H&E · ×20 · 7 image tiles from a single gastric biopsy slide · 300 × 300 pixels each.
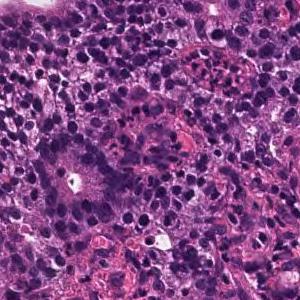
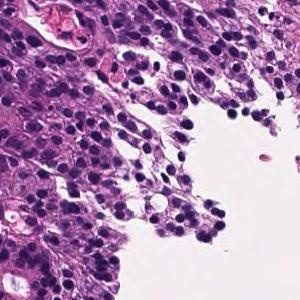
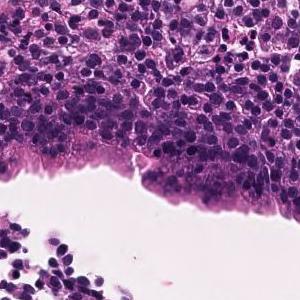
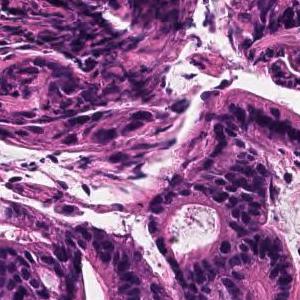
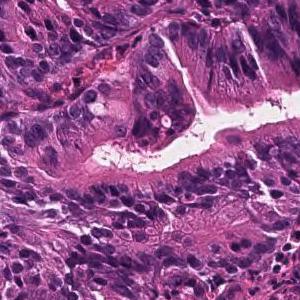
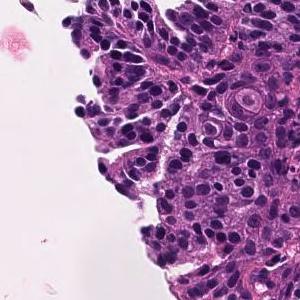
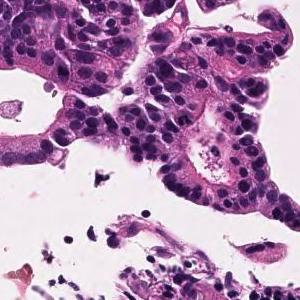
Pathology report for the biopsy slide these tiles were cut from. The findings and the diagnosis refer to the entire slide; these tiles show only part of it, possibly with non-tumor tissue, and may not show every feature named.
In the superficial epithelium, tumor tissue that invades by forming medium-sized to small, irregular ducts is observed. Moderately differentiated adenocarcinoma.
Tumor subtype: moderately differentiated tubular adenocarcinoma.
